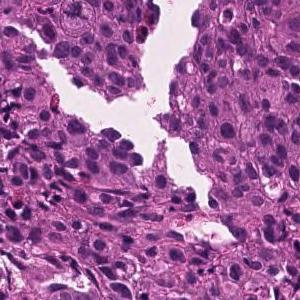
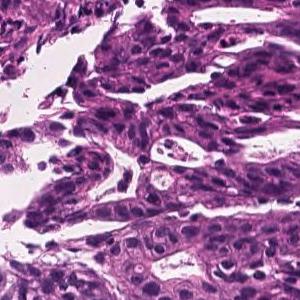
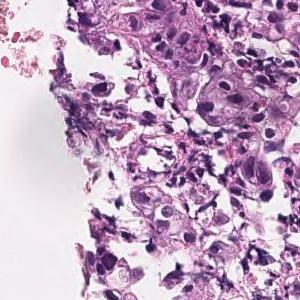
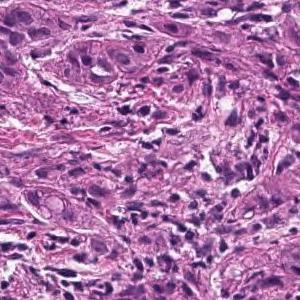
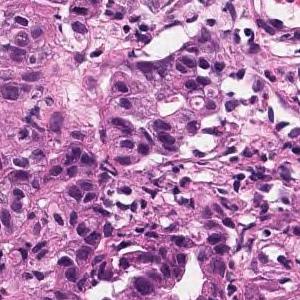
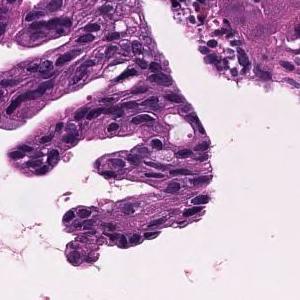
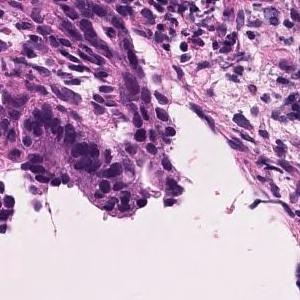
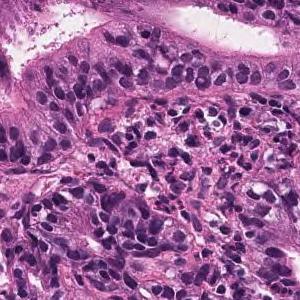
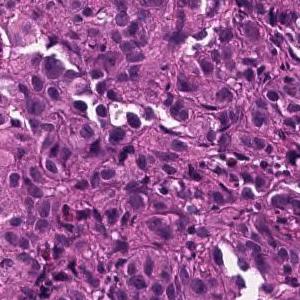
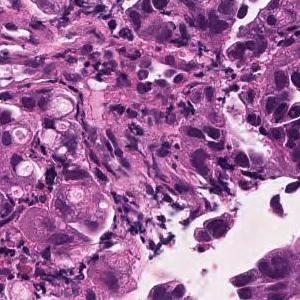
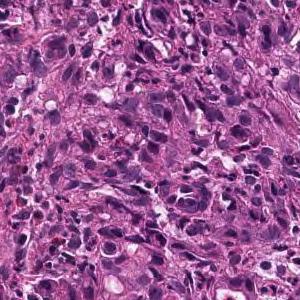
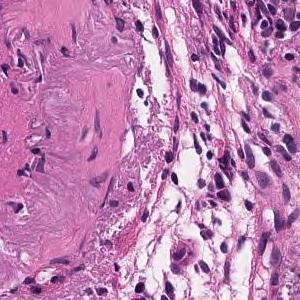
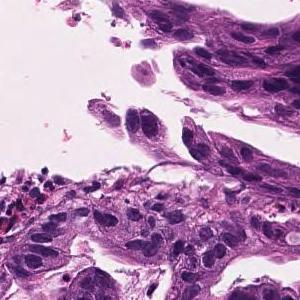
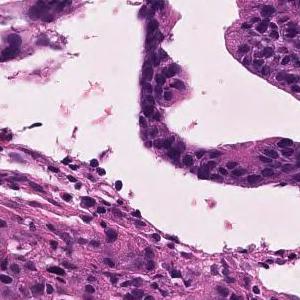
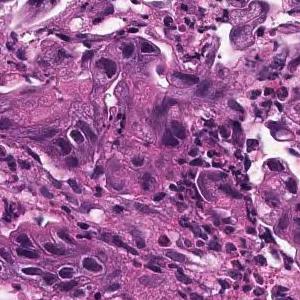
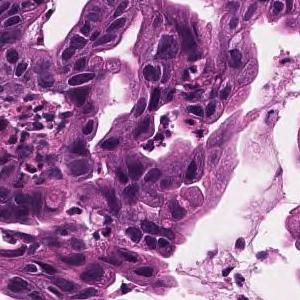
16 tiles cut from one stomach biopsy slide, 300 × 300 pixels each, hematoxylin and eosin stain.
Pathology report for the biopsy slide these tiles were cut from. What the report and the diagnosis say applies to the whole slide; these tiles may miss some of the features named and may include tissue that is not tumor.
Tumor tissue consisting of medium-sized, cord-like or irregular glandular infiltration is observed in the superficial epithelium. Poorly differentiated adenocarcinoma, non-solid type or moderately differentiated tubular adenocarcinoma
The term "non-solid type" comes from the Japanese Classification of Gastric Carcinoma.
